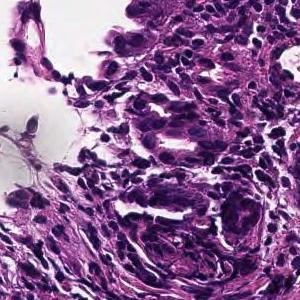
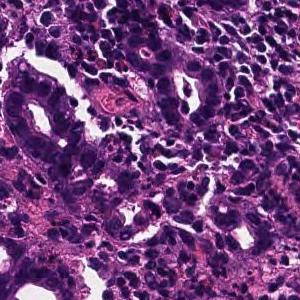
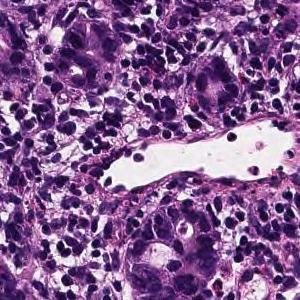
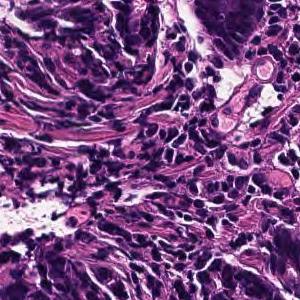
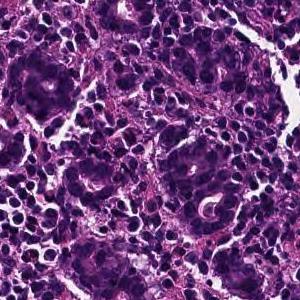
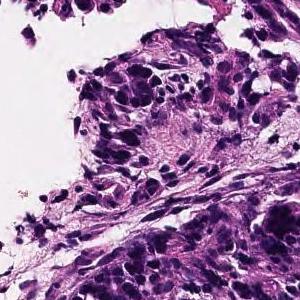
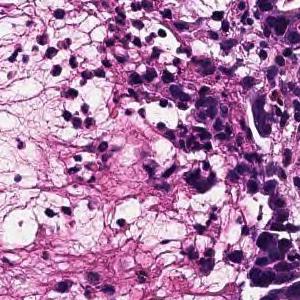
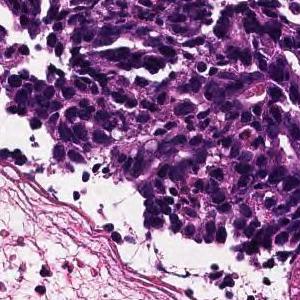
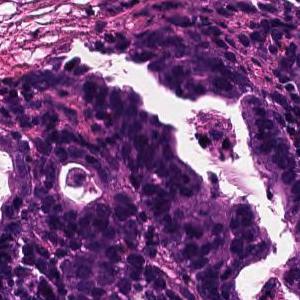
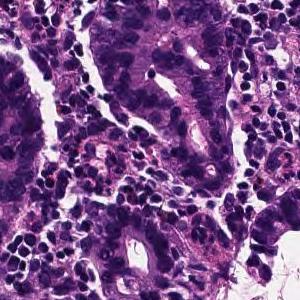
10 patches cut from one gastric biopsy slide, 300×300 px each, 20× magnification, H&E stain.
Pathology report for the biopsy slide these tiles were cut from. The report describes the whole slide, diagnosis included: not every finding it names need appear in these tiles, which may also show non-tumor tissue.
On the superficial epithelium, tumor tissue is found in which medium-sized irregular gland ducts fuse with each other and infiltrate. moderately differentiated tubular adenocarcinoma or Poorly differentiated adenocarcinoma, non-solid type
Tumor subtype: moderately to poorly differentiated adenocarcinoma.
"Non-solid type" is a category of the Japanese Classification of Gastric Carcinoma.
